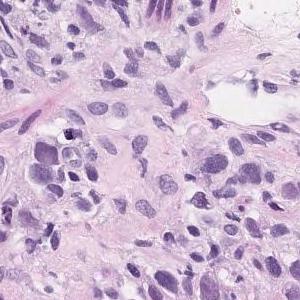
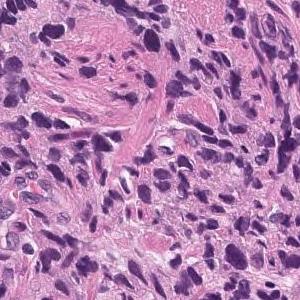
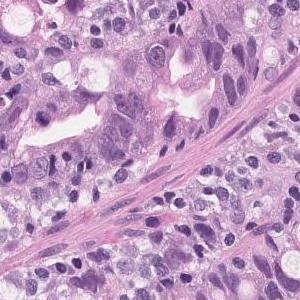
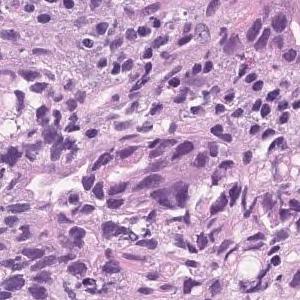
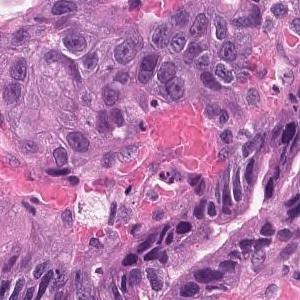
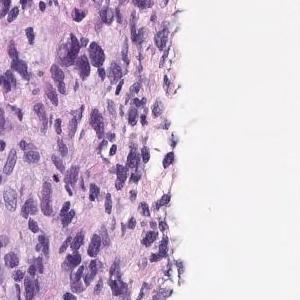
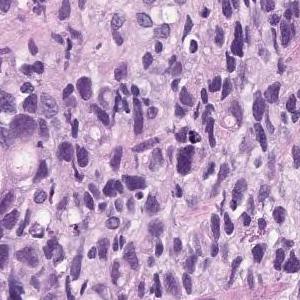
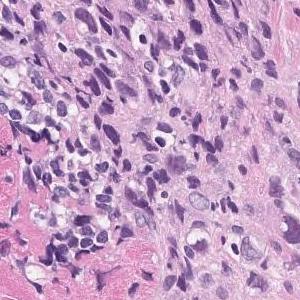
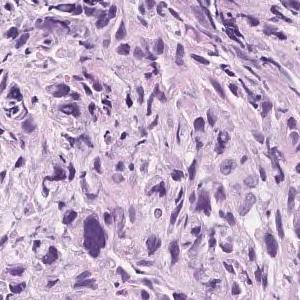
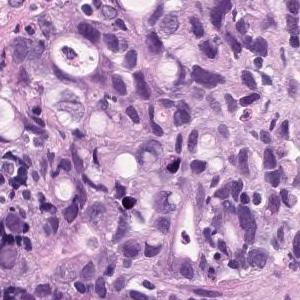
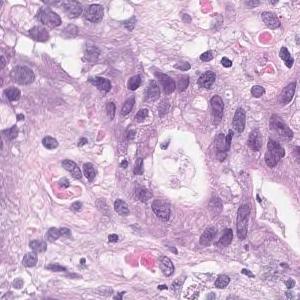
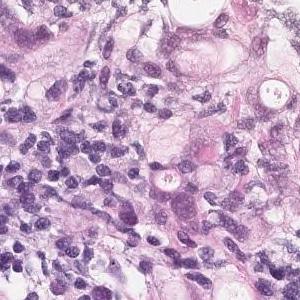
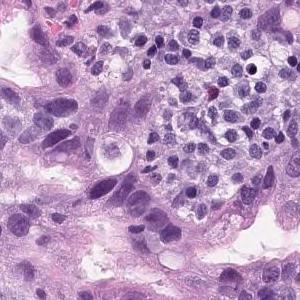
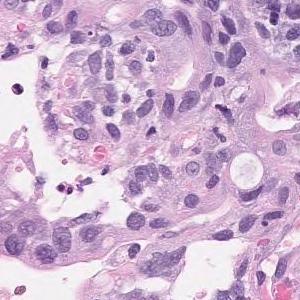
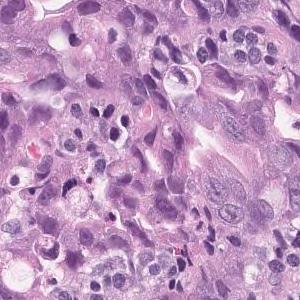
15 tiles from the same stomach biopsy slide; 300×300 px each; 20× magnification; H&E stain.
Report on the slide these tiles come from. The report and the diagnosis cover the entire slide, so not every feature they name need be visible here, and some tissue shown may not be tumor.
Tumor tissue consisting of medium-sized, cord-like or irregular glandular infiltration is observed in the superficial epithelium. Poorly differentiated adenocarcinoma, non-solid type or moderately differentiated tubular adenocarcinoma
Labeled in the dataset as poorly differentiated adenocarcinoma, non-solid type.
The non-solid type named here is a Japanese Classification of Gastric Carcinoma category.
